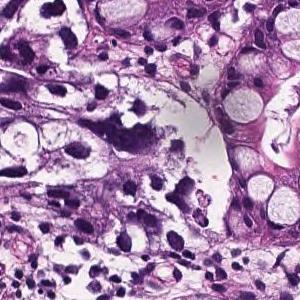
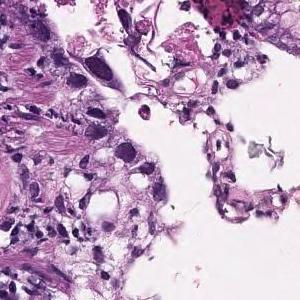
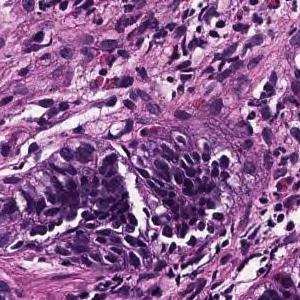
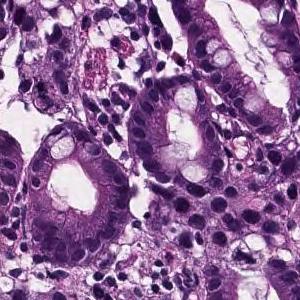
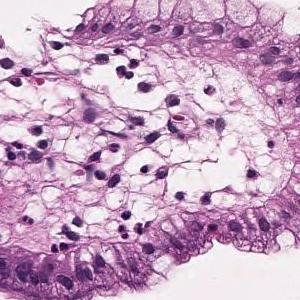
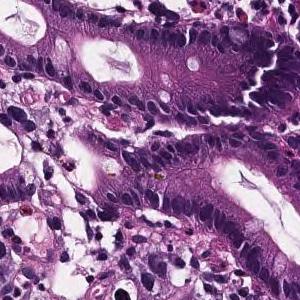
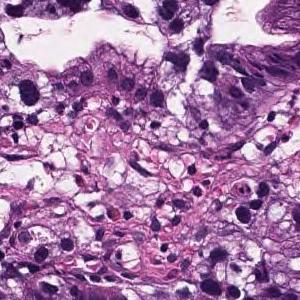
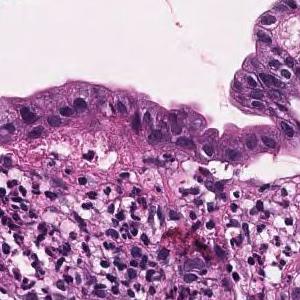
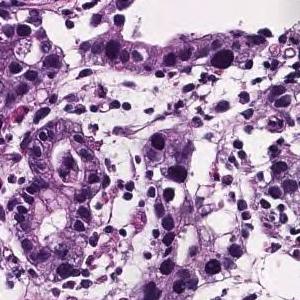
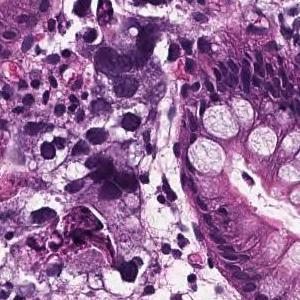
10 patches cut from one gastric biopsy slide; each 300 × 300 pixels; ×20; H&E.
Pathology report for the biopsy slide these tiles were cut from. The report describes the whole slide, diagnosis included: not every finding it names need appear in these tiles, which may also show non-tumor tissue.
In the superficial epithelium, medium to small irregular gland ducts are formed, and in some cases, the ducts are fused to show solid alveolar lesions and infiltrating tumor tissue is observed. Moderately to poorly differentiated adenocarcinoma
